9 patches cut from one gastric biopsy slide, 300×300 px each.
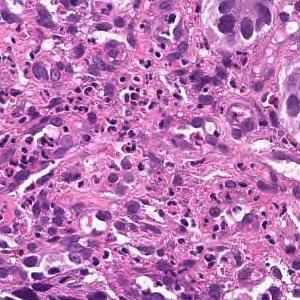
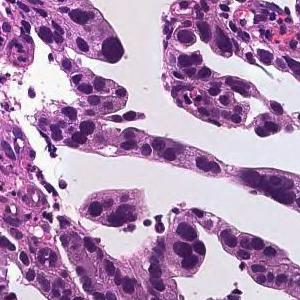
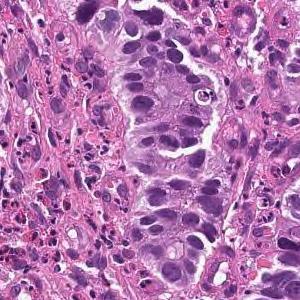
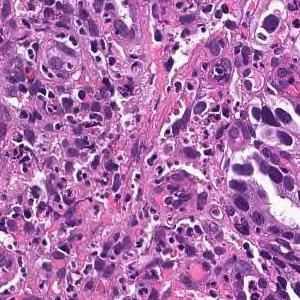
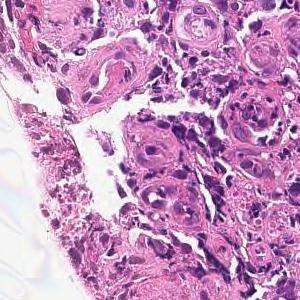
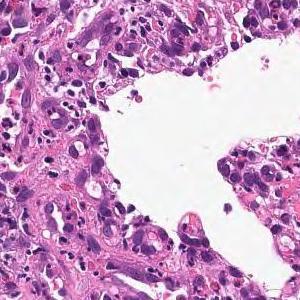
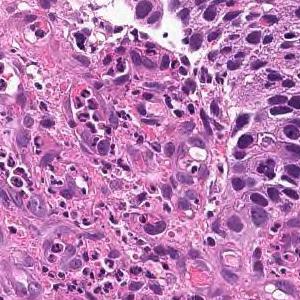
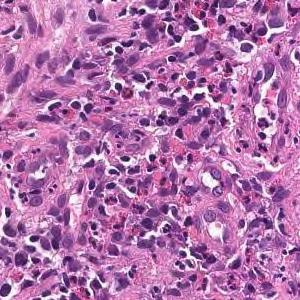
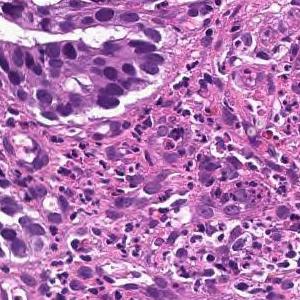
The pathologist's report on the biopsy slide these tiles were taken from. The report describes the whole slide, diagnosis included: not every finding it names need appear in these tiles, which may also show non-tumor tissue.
On the superficial epithelium, tumor tissue consisting of large irregular glandular ducts partially fused and infiltrated is observed. Well to moderately differentiated tubular adenocarcinoma (well differentiated tubular adenocarcinoma, moderately differentiated tubular adenocarcinoma)
Histological subtype: Well to moderately differentiated tubular adenocarcinoma.
